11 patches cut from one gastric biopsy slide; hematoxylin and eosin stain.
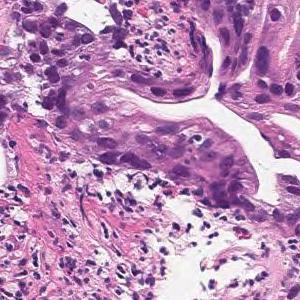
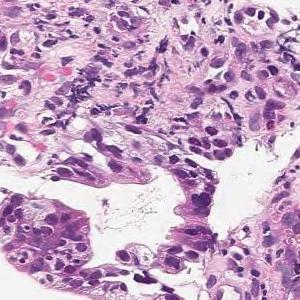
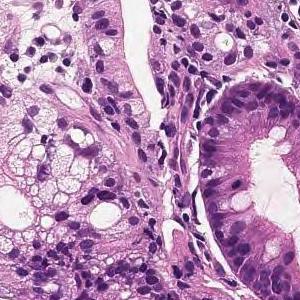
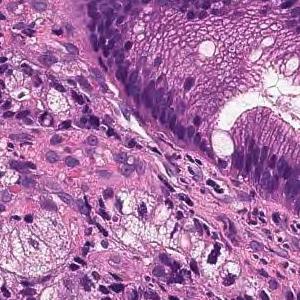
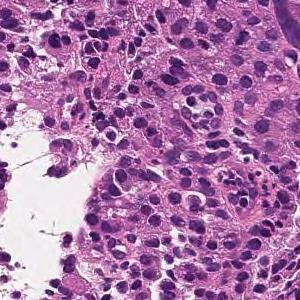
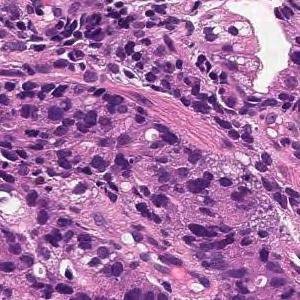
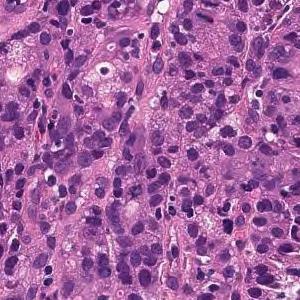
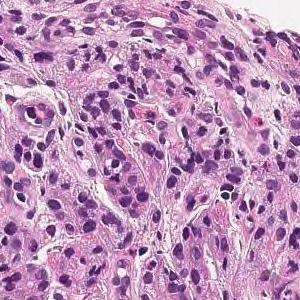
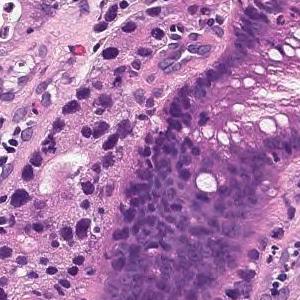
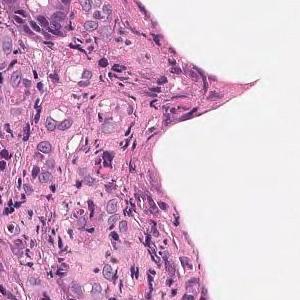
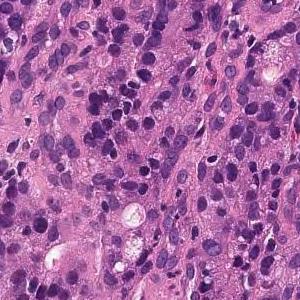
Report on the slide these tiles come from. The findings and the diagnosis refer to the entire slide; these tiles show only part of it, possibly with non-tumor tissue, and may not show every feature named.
In the superficial epithelium, medium to small irregular gland ducts are formed, and in some cases, the ducts are fused to show solid alveolar lesions and infiltrating tumor tissue is observed. moderately differentiated tubular adenocarcinoma or poorly differentiated adenocarcinoma, solid-type (poorly differentiated adenocarcinoma, solid type)
The dataset labels this slide poorly differentiated adenocarcinoma, solid type. This name comes from the Japanese Classification of Gastric Carcinoma; the WHO 2019 classification calls it tubular adenocarcinoma, poorly differentiated.
